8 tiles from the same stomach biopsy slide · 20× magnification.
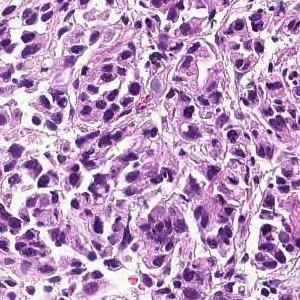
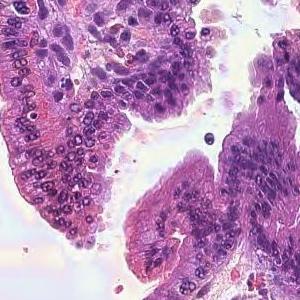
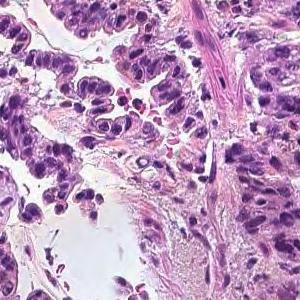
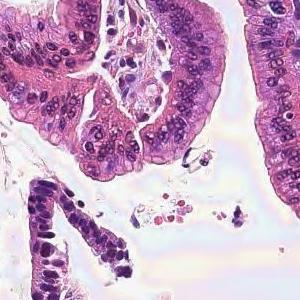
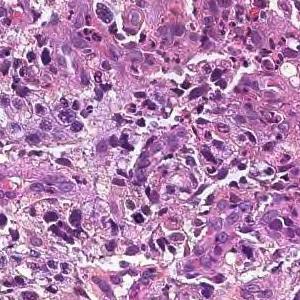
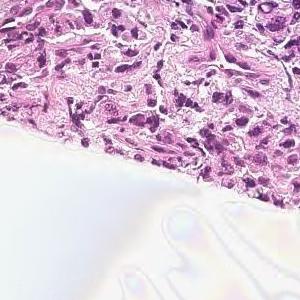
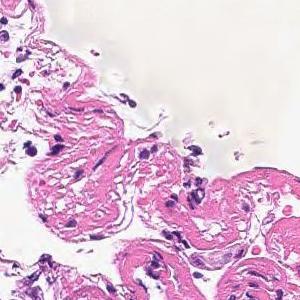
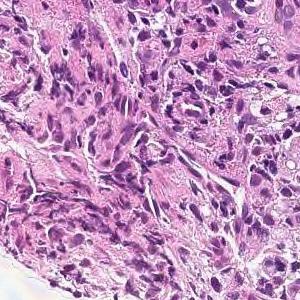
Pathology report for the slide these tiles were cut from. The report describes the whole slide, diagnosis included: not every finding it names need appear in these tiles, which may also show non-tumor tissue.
Tumor tissue consisting of medium-sized, cord-like or irregular glandular infiltration is observed in the superficial epithelium. Poorly differentiated adenocarcinoma, non-solid type or moderately differentiated tubular adenocarcinoma
Tumor subtype: moderately to poorly differentiated adenocarcinoma.
The term "non-solid type" comes from the Japanese Classification of Gastric Carcinoma.
